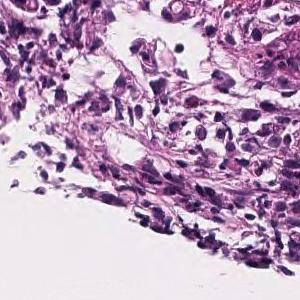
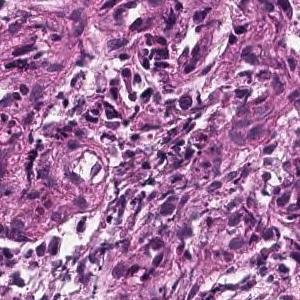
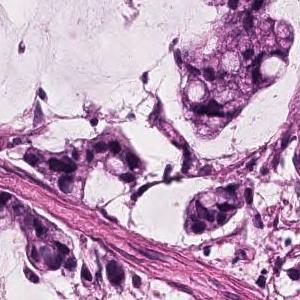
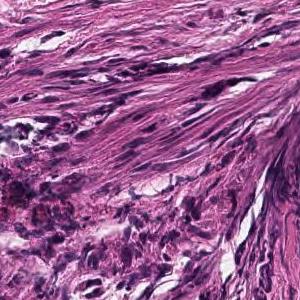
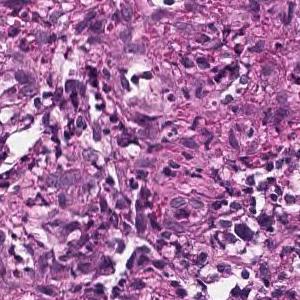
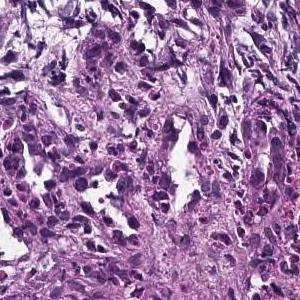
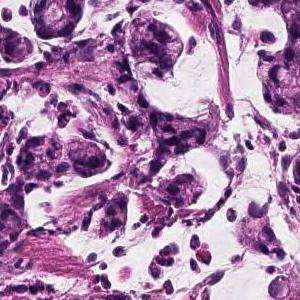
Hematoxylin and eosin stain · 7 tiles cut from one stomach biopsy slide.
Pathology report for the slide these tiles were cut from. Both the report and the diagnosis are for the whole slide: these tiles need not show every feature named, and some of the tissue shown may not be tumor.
Atypical epithelial cells form obscure ductal structures or small solid follicles, and tumor tissue that proliferates invasively with proliferation of inflammatory granulation tissue is observed. Mucinous adenocarcinoma .
